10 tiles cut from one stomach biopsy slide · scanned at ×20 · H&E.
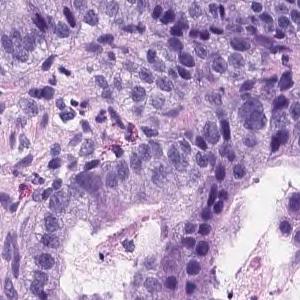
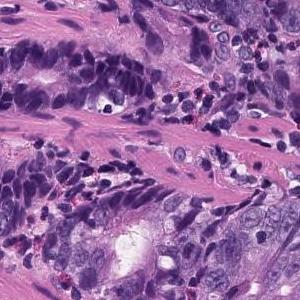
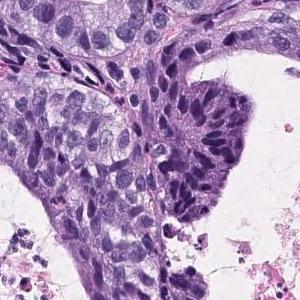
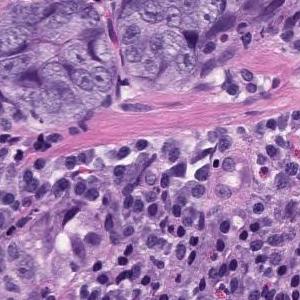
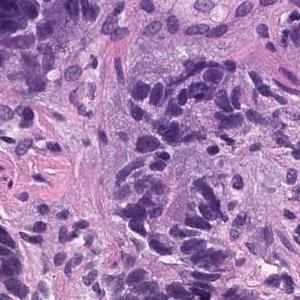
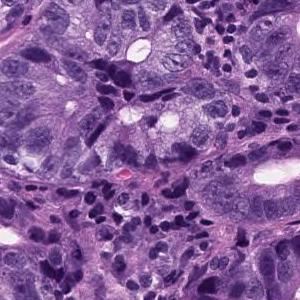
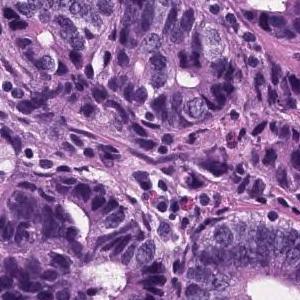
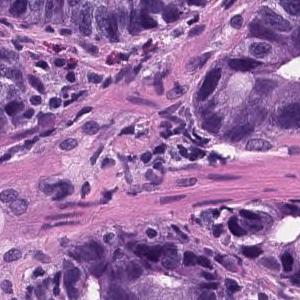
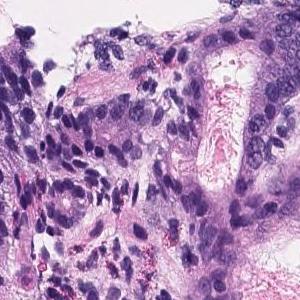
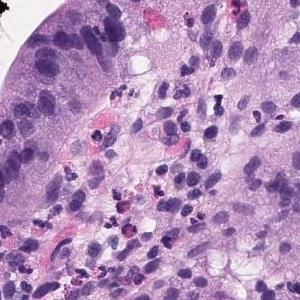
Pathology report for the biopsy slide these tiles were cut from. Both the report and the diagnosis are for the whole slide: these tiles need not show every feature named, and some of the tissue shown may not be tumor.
Tumor tissue consisting of medium-sized and irregular ducts is observed infiltrating in the superficial epithelium. Tumor cells are highly columnar, with nuclei aligned basolaterally and polarized. Well differentiated tubular adenocarcinoma.
